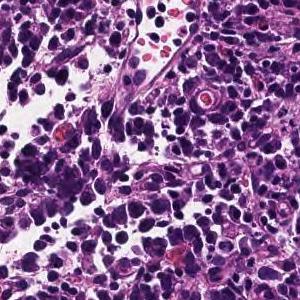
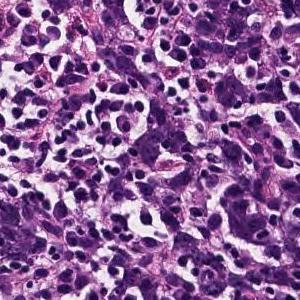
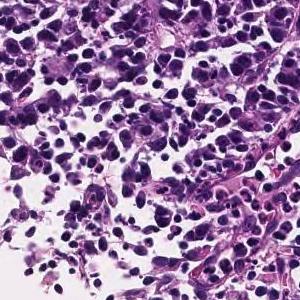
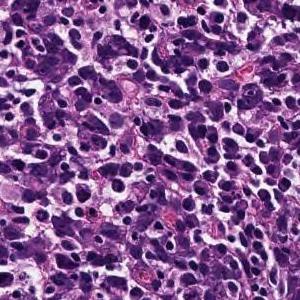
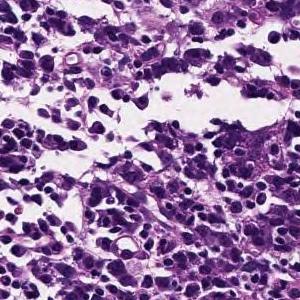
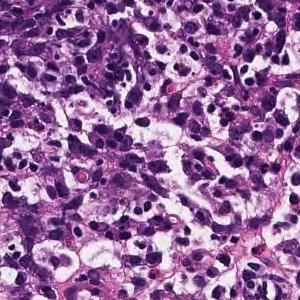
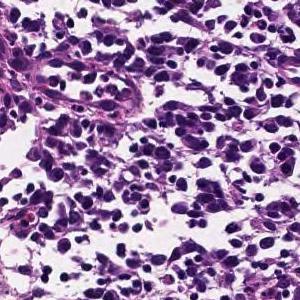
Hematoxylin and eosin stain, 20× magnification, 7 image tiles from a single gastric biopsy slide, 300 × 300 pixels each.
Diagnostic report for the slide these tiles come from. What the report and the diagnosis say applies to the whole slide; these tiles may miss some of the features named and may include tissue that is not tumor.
Tumor tissue consisting of cord-like or small, irregular glandular ducts fused and infiltrated is observed in the superficial epithelium. Poorly differentiated adenocarcinoma, non-solid type
The term "non-solid type" comes from the Japanese Classification of Gastric Carcinoma.
